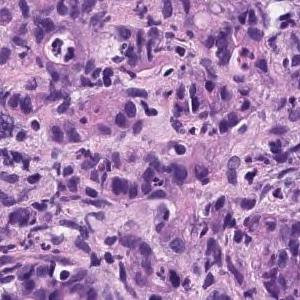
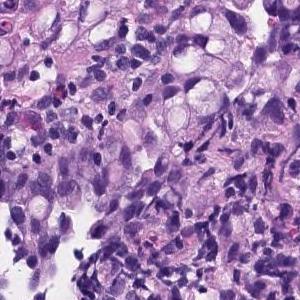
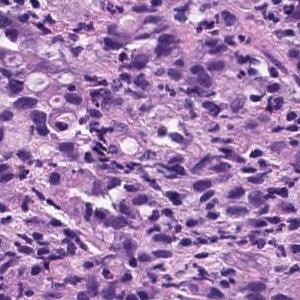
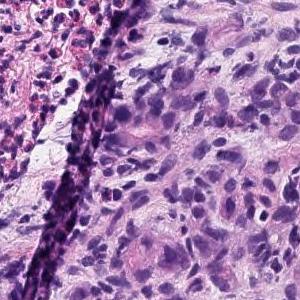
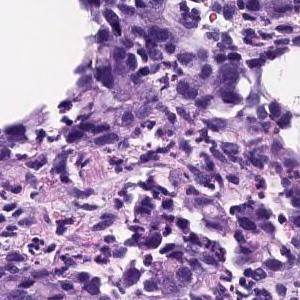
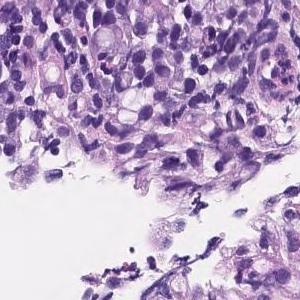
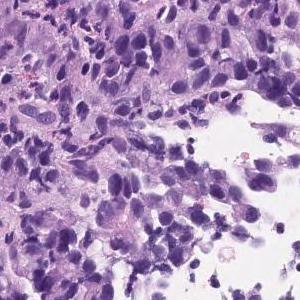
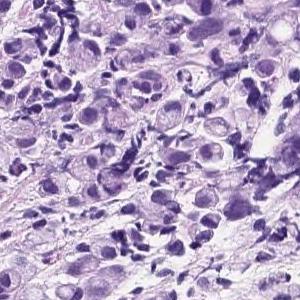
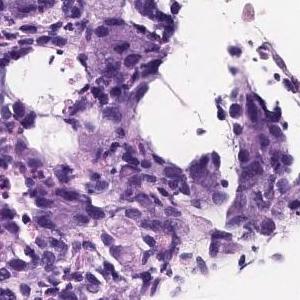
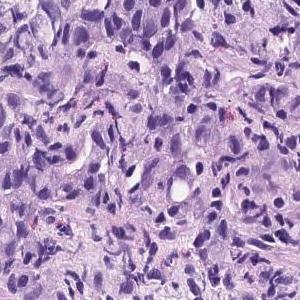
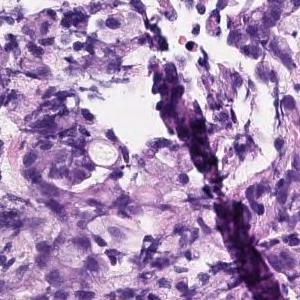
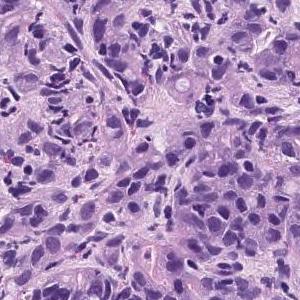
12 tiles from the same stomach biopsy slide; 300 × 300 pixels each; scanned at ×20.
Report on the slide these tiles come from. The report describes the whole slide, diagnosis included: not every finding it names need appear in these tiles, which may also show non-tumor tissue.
Diffusely growing signet-ring cells are found in the lamina propria. Signet ring cell carcinoma.
